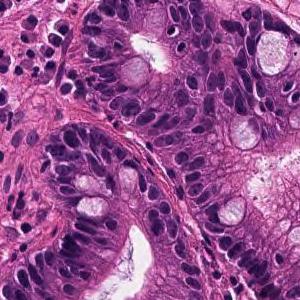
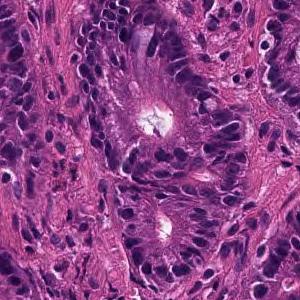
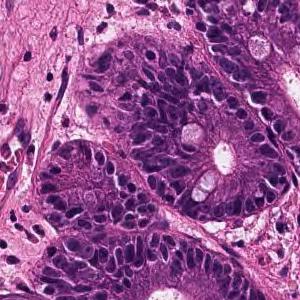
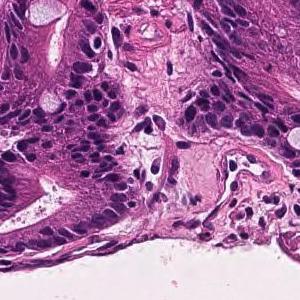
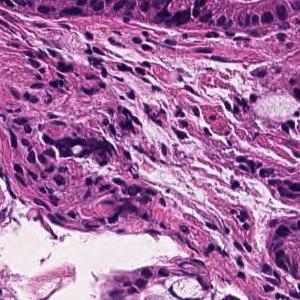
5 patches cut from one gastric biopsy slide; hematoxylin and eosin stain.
Pathology report for the slide these tiles were cut from. What the report and the diagnosis say applies to the whole slide; these tiles may miss some of the features named and may include tissue that is not tumor.
Medium to small, irregular glandular ducts are formed in the superficial epithelium, and in some cases, the glandular ducts are fused to show solid alveolar lesions and infiltrating tumor tissue is observed. Moderately to poorly differentiated adenocarcinoma.
